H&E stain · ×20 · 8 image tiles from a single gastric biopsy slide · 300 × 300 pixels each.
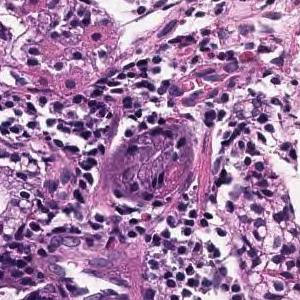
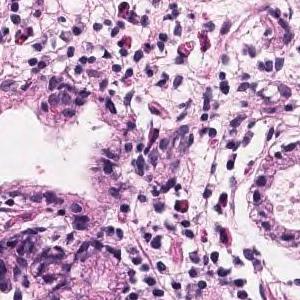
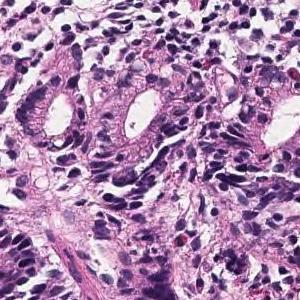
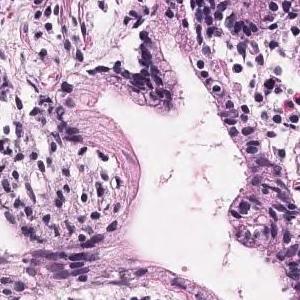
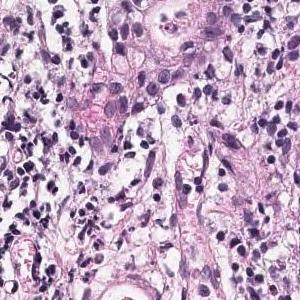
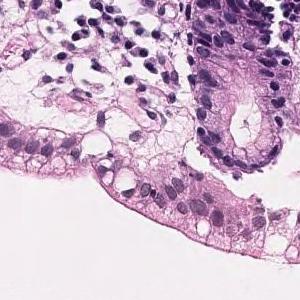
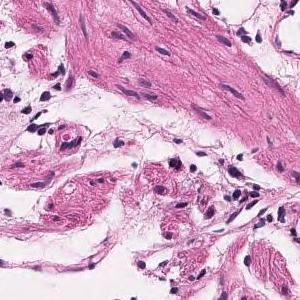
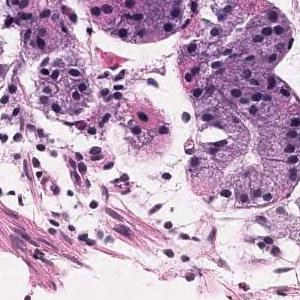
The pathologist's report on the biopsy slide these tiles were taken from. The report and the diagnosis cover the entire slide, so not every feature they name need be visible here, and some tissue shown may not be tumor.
Tumor tissue that grows and grows is observed, showing a medium-sized round or irregular duct. moderately differentiated tubular adenocarcinoma
